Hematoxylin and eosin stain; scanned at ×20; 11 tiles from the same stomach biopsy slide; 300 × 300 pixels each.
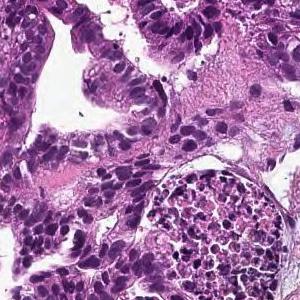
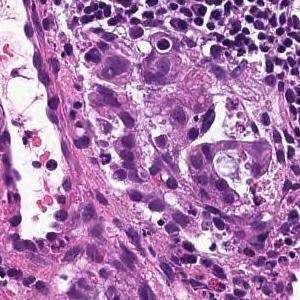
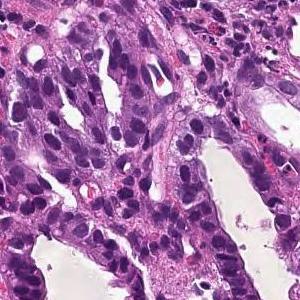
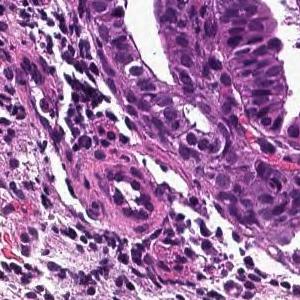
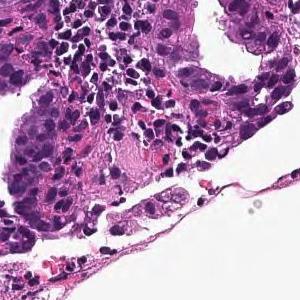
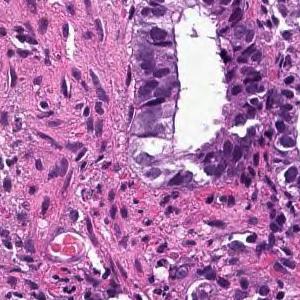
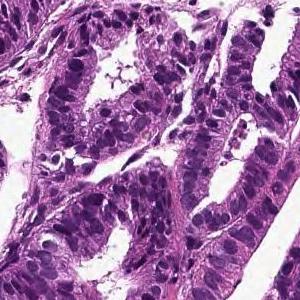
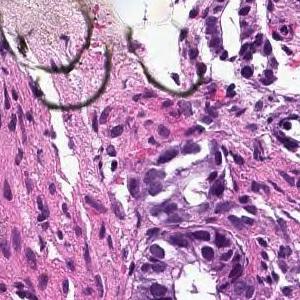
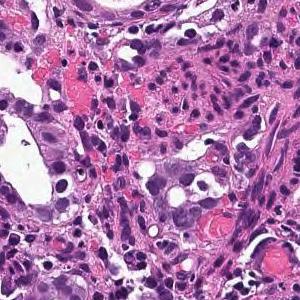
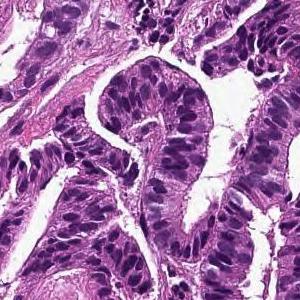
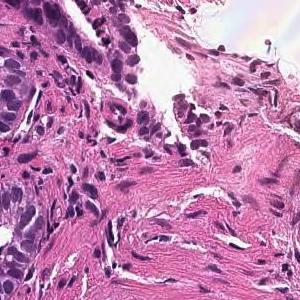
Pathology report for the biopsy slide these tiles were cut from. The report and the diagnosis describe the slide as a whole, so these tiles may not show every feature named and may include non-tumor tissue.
Tumor cells are large, highly columnar, large club-shaped nuclei, and are associated with chromatin aggregation. Papillary adenocarcinoma.
